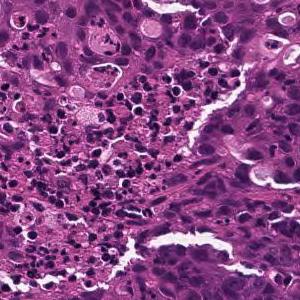
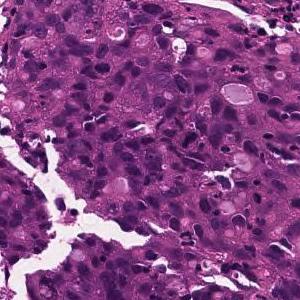
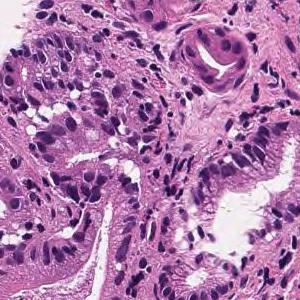
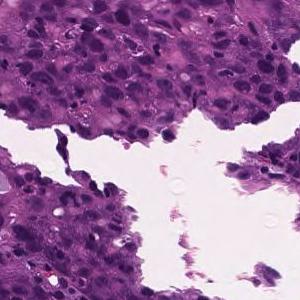
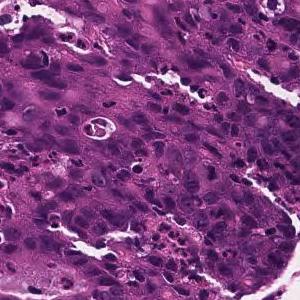
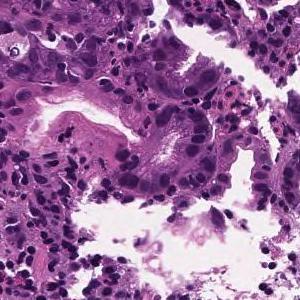
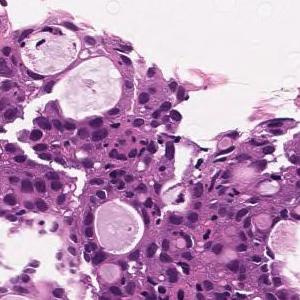
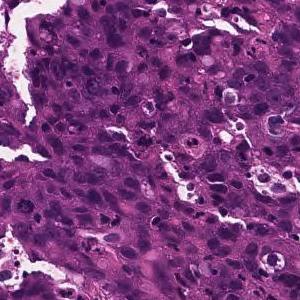
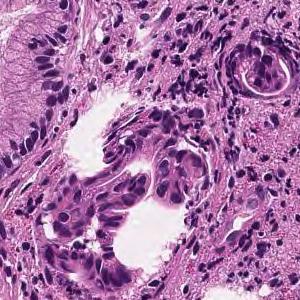
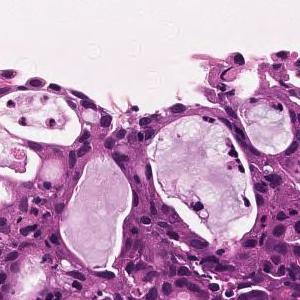
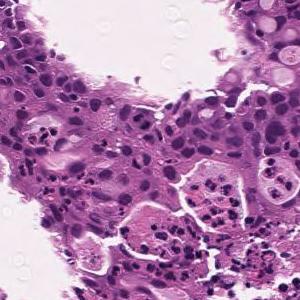
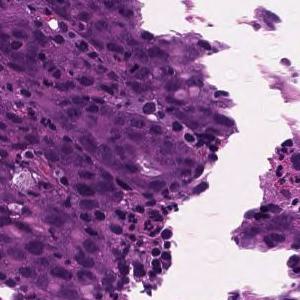
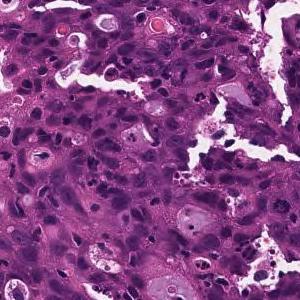
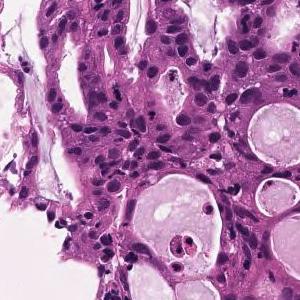
Hematoxylin and eosin stain; 20× magnification; 14 tiles from the same stomach biopsy slide; 300×300 px each.
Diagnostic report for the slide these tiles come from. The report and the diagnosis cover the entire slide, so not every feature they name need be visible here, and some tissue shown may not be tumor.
Cells with atypical nuclei are densely hyperplasia while forming sieve-like ducts of various sizes. moderately differentiated tubular adenocarcinoma
